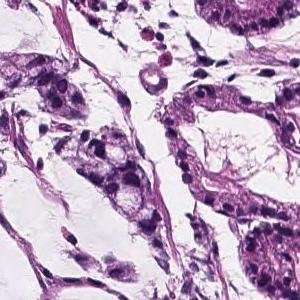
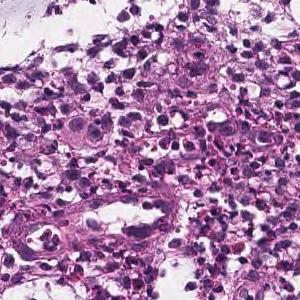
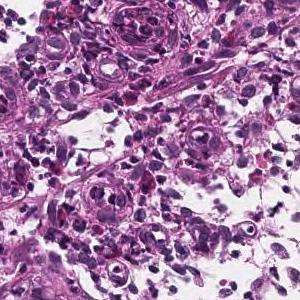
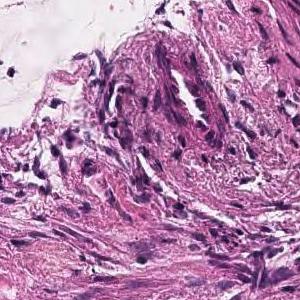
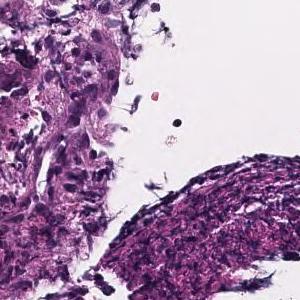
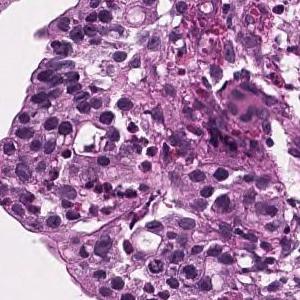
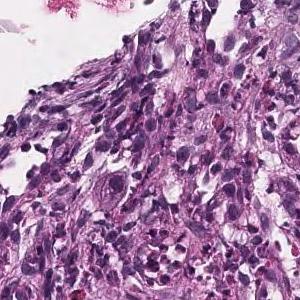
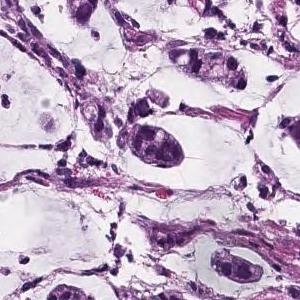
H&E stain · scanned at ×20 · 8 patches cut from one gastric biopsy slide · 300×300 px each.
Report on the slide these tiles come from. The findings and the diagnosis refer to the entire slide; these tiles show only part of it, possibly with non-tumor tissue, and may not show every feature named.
Atypical epithelial cells form obscure ductal structures or small solid follicles, and tumor tissue that proliferates invasively with proliferation of inflammatory granulation tissue is observed. Mucinous adenocarcinoma .
